20× magnification · hematoxylin and eosin stain · 10 image tiles from a single gastric biopsy slide · each 300 × 300 pixels.
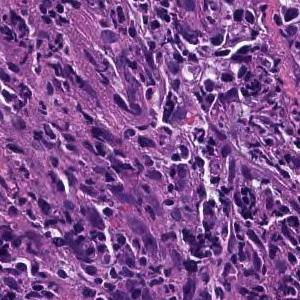
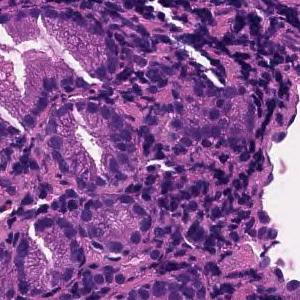
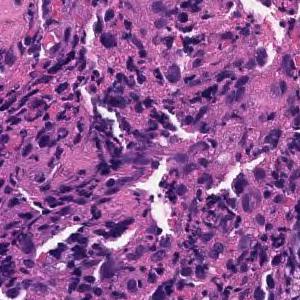
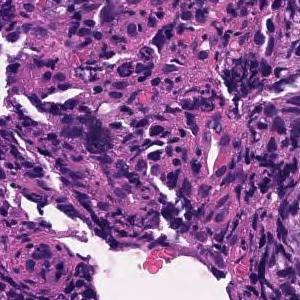
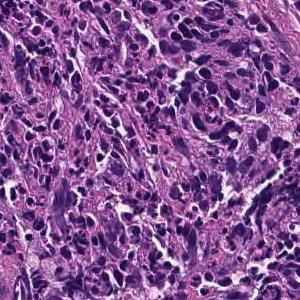
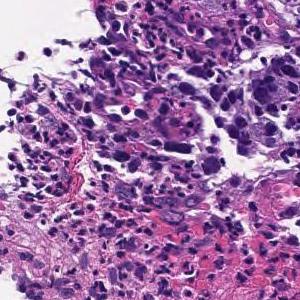
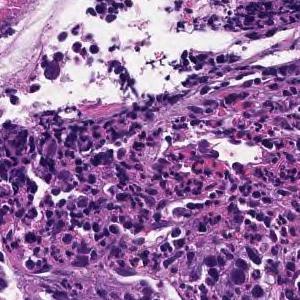
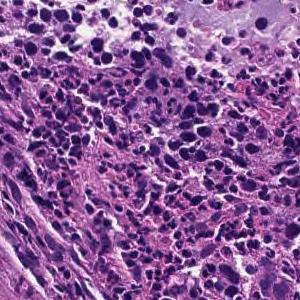
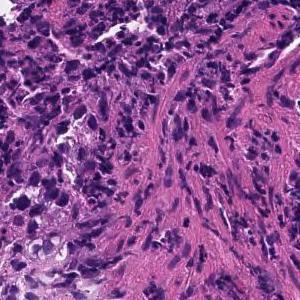
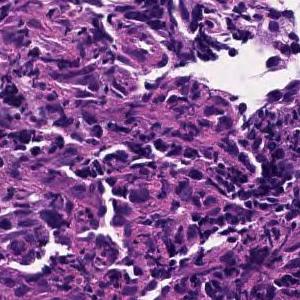
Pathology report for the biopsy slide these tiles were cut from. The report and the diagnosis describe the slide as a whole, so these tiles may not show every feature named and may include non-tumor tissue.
Tumor tissue consisting of cord-like or small, irregular glandular ducts fused and infiltrated is observed in the superficial epithelium. Poorly differentiated adenocarcinoma, non-solid type
The non-solid type named here is a Japanese Classification of Gastric Carcinoma category.
